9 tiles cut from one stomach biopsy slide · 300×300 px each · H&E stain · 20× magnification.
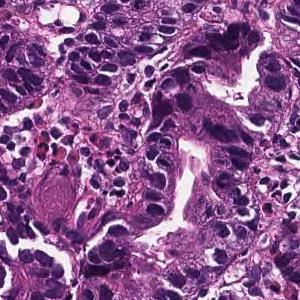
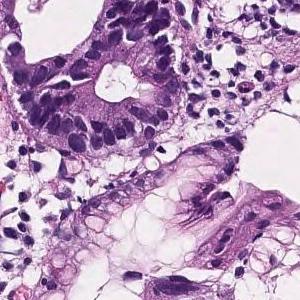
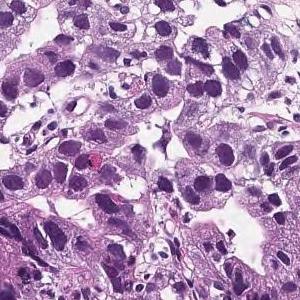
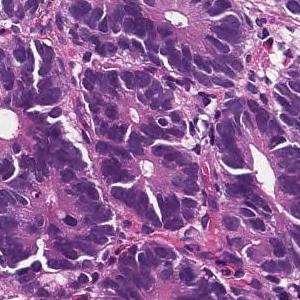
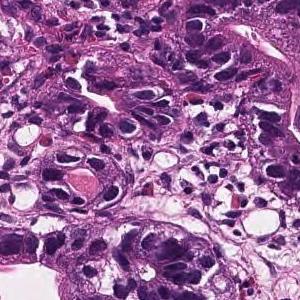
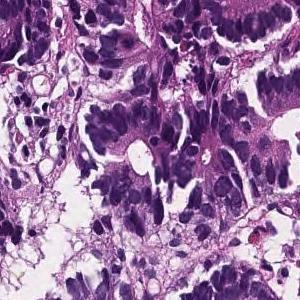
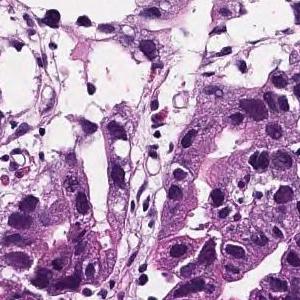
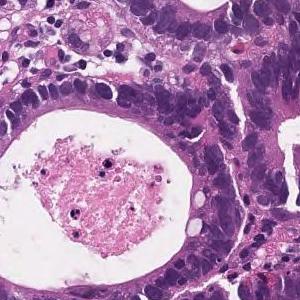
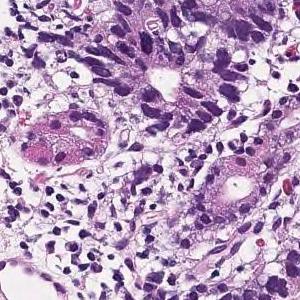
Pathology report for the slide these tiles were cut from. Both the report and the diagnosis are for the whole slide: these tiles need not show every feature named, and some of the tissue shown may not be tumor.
On the superficial epithelium, tumor tissue consisting of large, irregular glandular ducts partially fused and infiltrated is observed. Well to moderately differentiated tubular adenocarcinoma (well differentiated tubular adenocarcinoma, moderately differentiated tubular adenocarcinoma)
Tumor subtype: well to moderately differentiated tubular adenocarcinoma.
